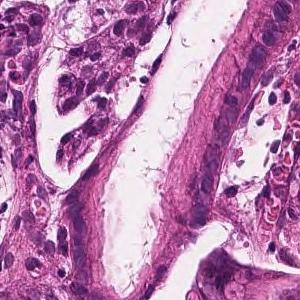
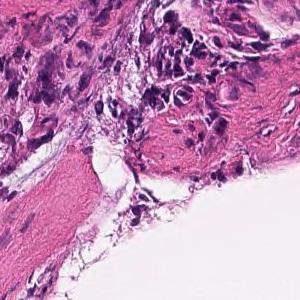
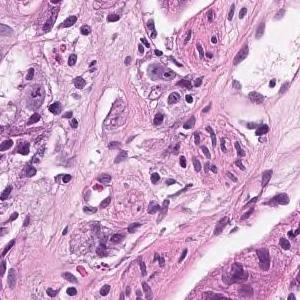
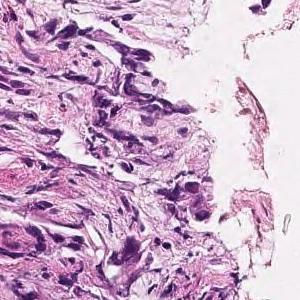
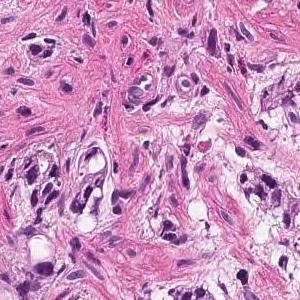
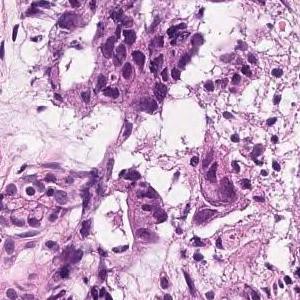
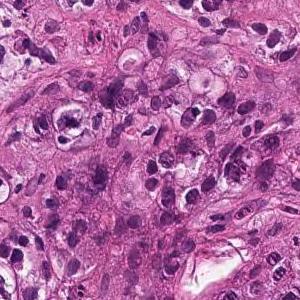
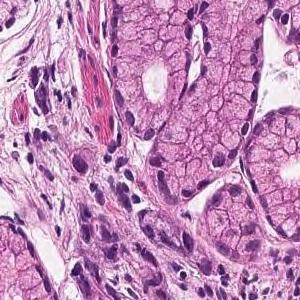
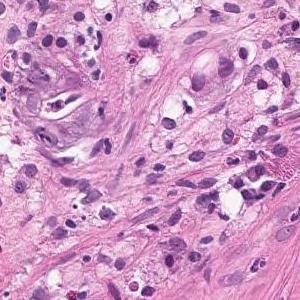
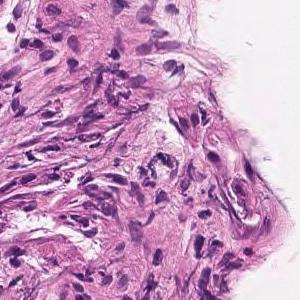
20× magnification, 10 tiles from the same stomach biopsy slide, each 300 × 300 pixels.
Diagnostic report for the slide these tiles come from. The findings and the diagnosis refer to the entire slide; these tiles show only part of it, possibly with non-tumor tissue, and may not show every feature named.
In the gastric mucosal tissue, tumor tissue that forms irregular glandular cavities of medium to small size or shows small cords and infiltrates is observed. moderately differentiated tubular adenocarcinoma
